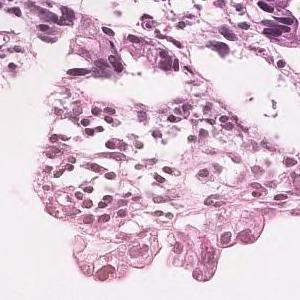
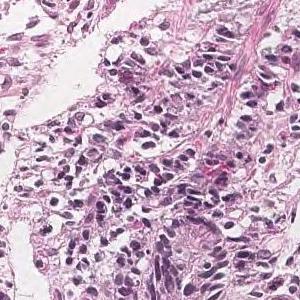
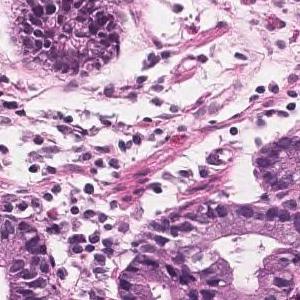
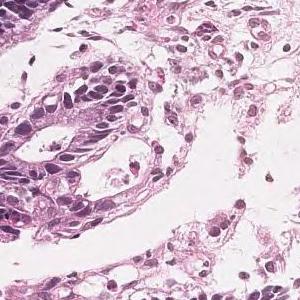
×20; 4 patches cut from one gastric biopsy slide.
The pathologist's report on the biopsy slide these tiles were taken from. The report and the diagnosis cover the entire slide, so not every feature they name need be visible here, and some tissue shown may not be tumor.
Most of the tumor remains in the epithelium and shows a medium-sized circular system or irregular ducts, showing proliferating and developing tumor tissue. Well differentiated tubular adenocarcinoma
